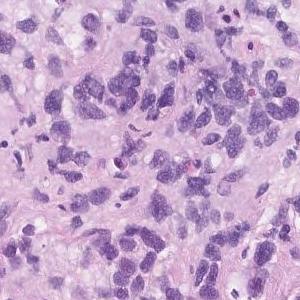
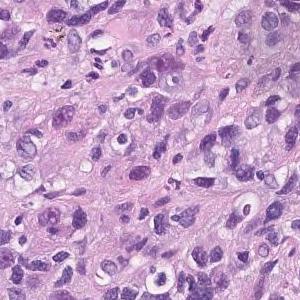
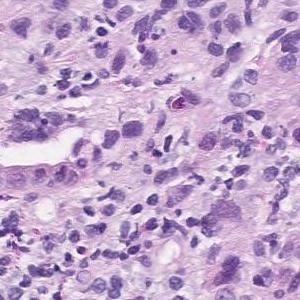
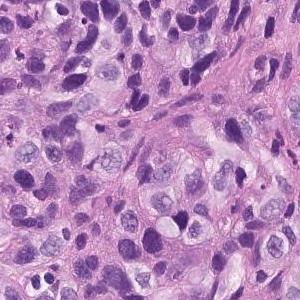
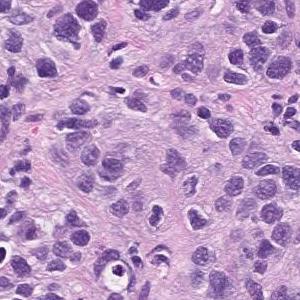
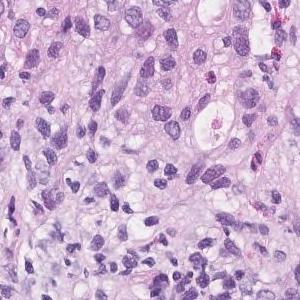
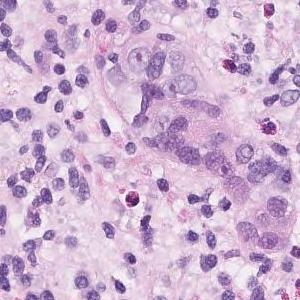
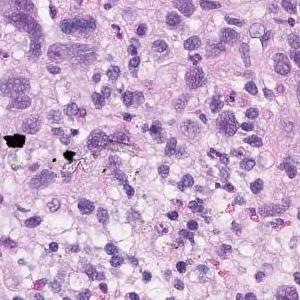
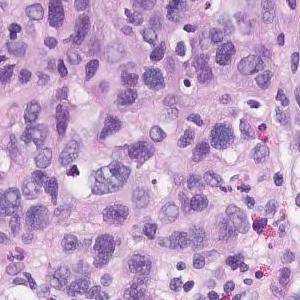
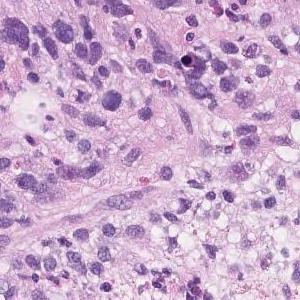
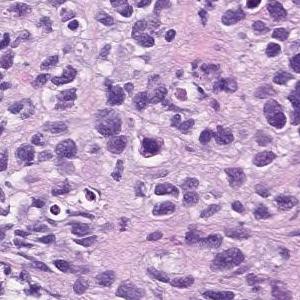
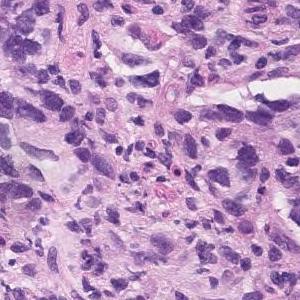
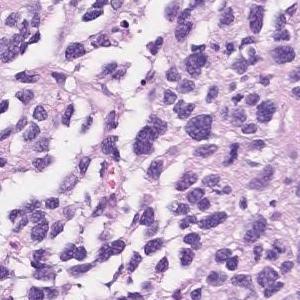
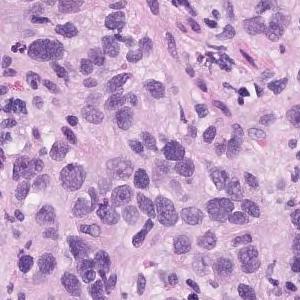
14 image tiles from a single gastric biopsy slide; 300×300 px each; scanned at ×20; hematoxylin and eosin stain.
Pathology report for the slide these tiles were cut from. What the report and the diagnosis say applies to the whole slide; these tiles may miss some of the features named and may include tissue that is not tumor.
Atypical l cells with atypical nuclei under the mucosa growing in isolation and scattered. Poorly differentiated adenocarcinoma (poorly differentiated adenocarcinoma, non-solid type)
Classified as poorly differentiated adenocarcinoma, non-solid type.
"Non-solid type" is a category of the Japanese Classification of Gastric Carcinoma.
